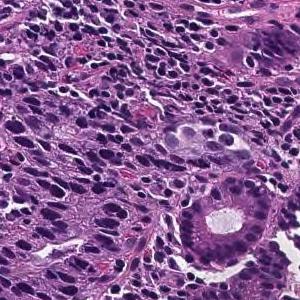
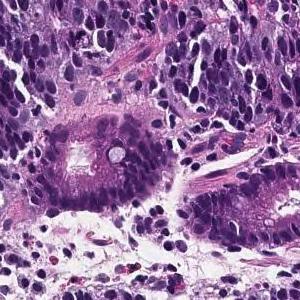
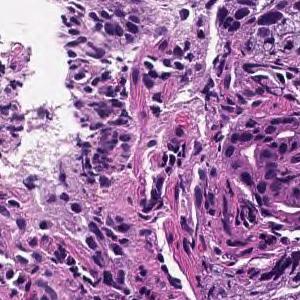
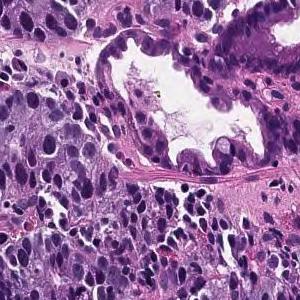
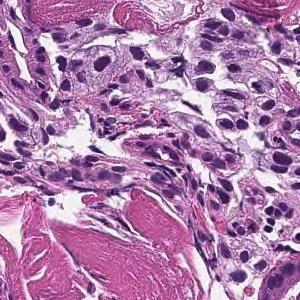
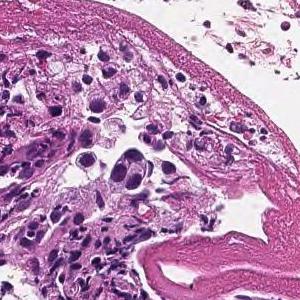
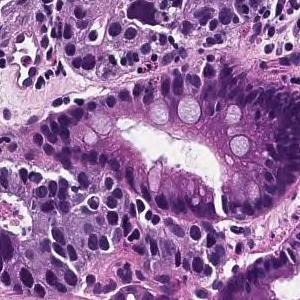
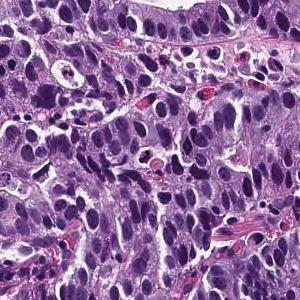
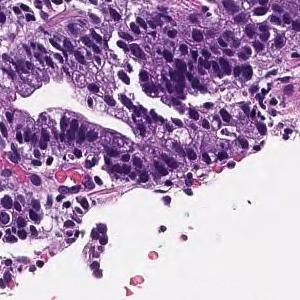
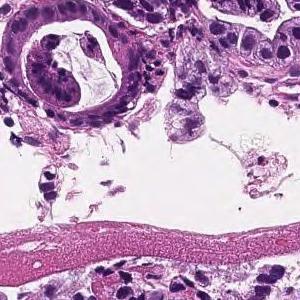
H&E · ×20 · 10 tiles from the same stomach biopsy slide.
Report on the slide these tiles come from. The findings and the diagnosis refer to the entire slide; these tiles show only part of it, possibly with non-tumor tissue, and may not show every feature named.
In the superficial epithelium, tumor tissue that invades by forming medium-sized to small, irregular ducts is observed. moderately differentiated tubular adenocarcinoma.
